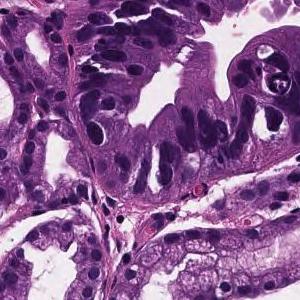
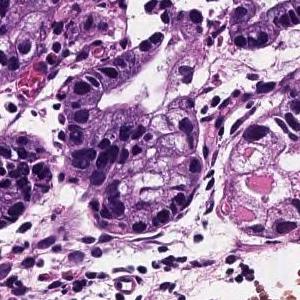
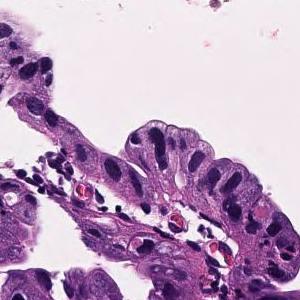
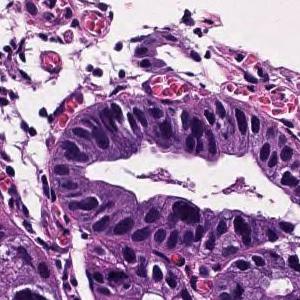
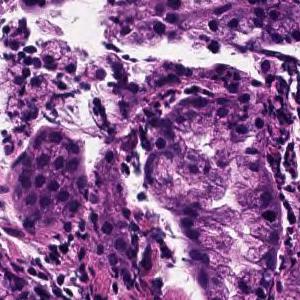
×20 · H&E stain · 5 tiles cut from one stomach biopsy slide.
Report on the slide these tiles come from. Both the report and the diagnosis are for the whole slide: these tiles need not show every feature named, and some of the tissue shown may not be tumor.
In the superficial epithelium, tumor tissue that invades by forming medium-sized to small, irregular ducts is observed. Well differentiated tubular adenocarcinoma.
